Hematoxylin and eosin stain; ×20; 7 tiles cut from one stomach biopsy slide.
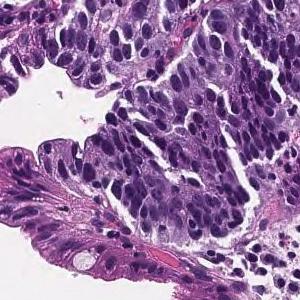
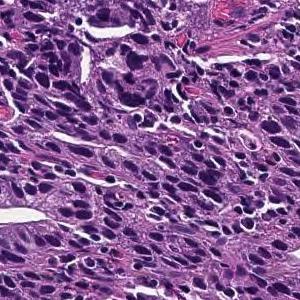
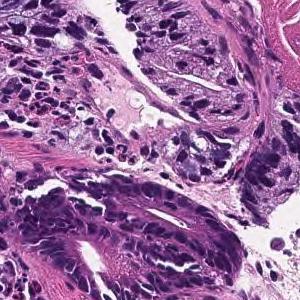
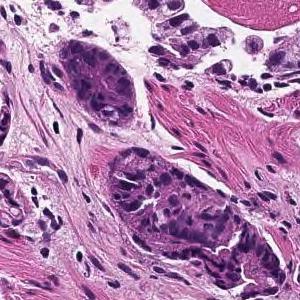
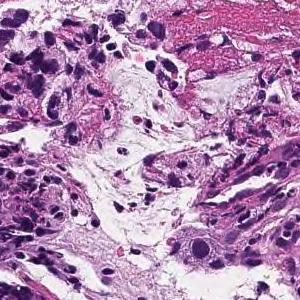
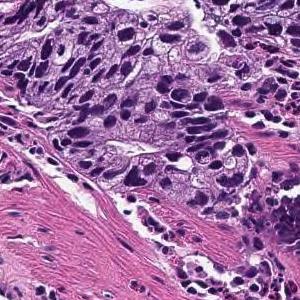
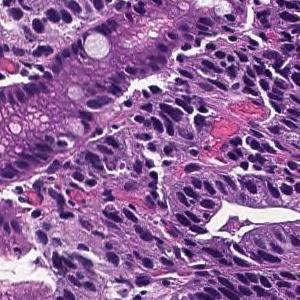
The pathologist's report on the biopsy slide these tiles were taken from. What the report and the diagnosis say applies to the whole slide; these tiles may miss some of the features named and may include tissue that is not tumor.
In the superficial epithelium, tumor tissue that invades by forming medium-sized to small, irregular ducts is observed. moderately differentiated tubular adenocarcinoma.
